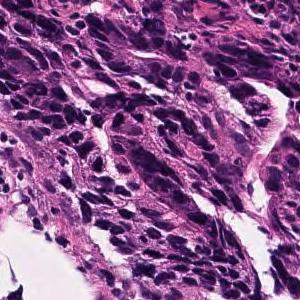
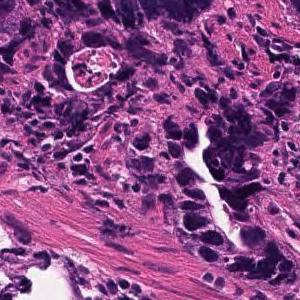
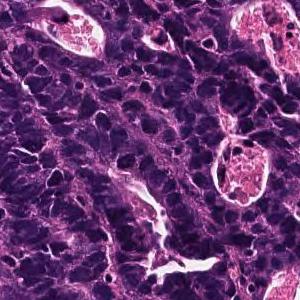
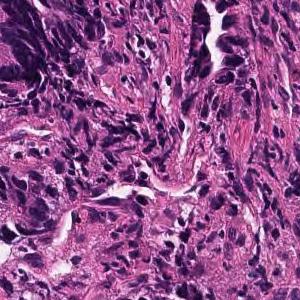
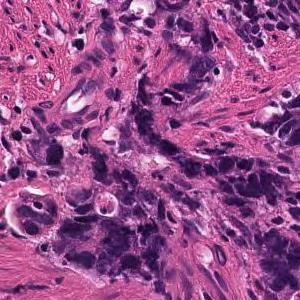
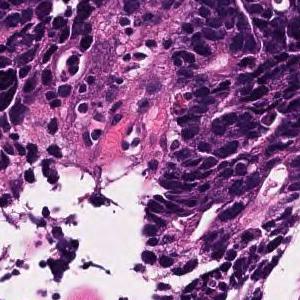
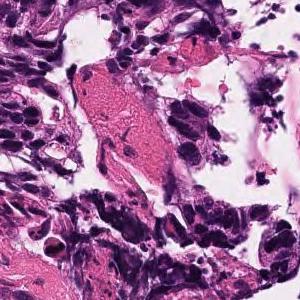
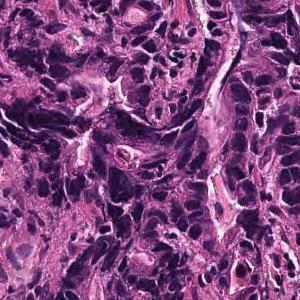
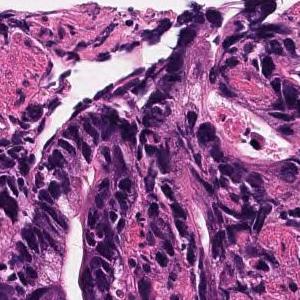
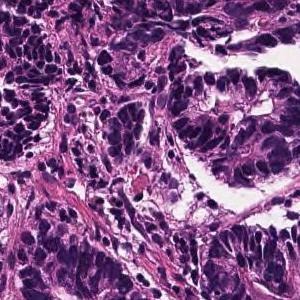
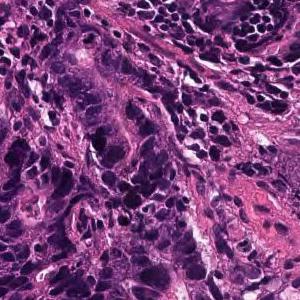
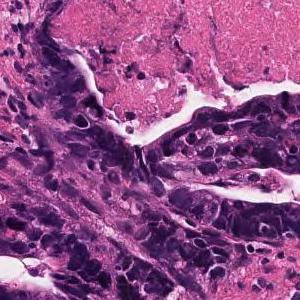
12 tiles from the same stomach biopsy slide; ×20; hematoxylin and eosin stain.
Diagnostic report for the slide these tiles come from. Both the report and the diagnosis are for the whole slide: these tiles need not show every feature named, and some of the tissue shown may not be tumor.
Large and small irregular small glandular ducts forming and infiltrating. moderately differentiated tubular adenocarcinoma
